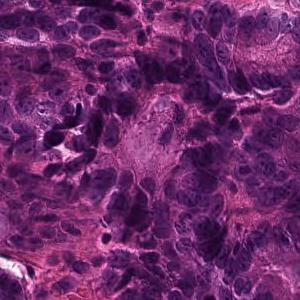
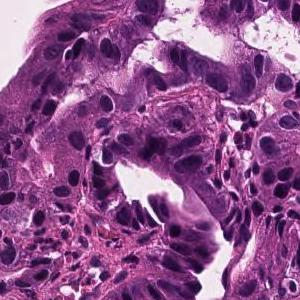
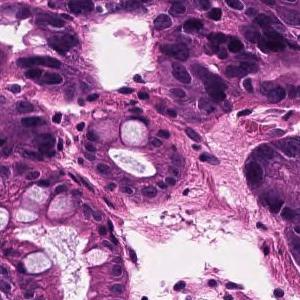
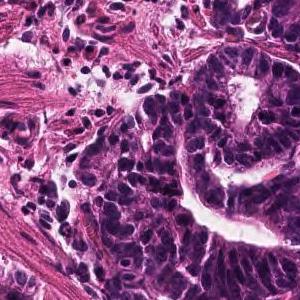
4 tiles cut from one stomach biopsy slide; 300 × 300 pixels each; H&E stain; 20× magnification.
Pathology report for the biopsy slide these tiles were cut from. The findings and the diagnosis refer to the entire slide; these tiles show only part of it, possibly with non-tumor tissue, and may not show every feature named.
In the superficial epithelium, tumor tissue that invades by forming medium-sized to small, irregular ducts is observed. Well differentiated tubular adenocarcinoma.
